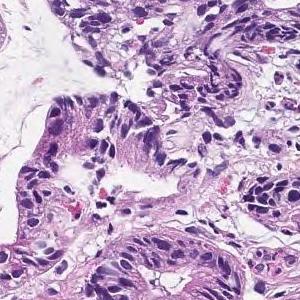
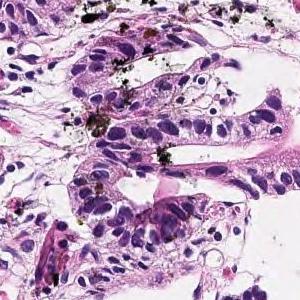
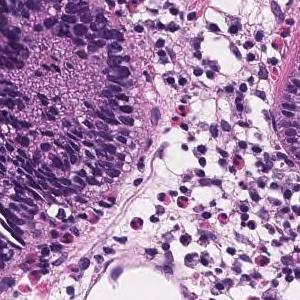
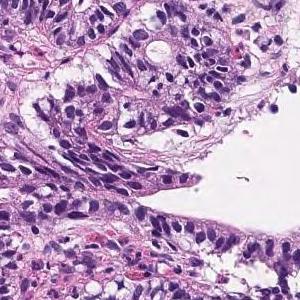
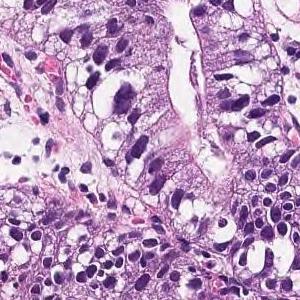
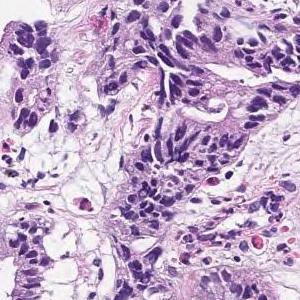
Hematoxylin and eosin stain, 6 tiles cut from one stomach biopsy slide, 300 × 300 pixels each.
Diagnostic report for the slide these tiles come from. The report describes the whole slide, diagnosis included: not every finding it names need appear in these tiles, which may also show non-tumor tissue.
In the superficial epithelium, tumor tissue that invades by forming medium-sized to small, irregular ducts is observed. Moderately differentiated adenocarcinoma.
Histological subtype: Moderately differentiated tubular adenocarcinoma.
